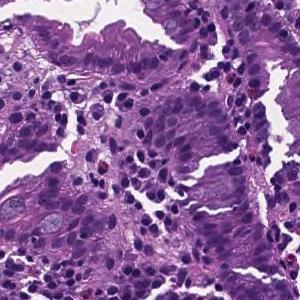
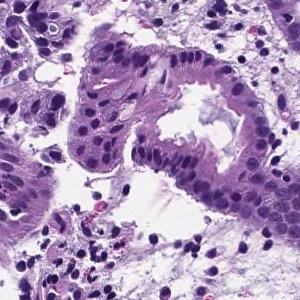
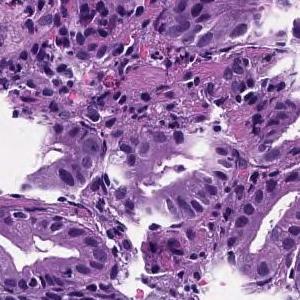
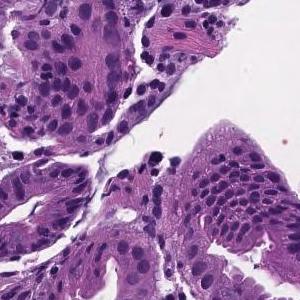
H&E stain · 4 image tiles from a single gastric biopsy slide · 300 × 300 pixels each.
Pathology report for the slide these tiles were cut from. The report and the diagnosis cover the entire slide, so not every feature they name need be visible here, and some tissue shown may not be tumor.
In the superficial epithelium, tumor tissue that invades by forming medium-sized to small, irregular ducts is observed. moderately differentiated tubular adenocarcinoma.
